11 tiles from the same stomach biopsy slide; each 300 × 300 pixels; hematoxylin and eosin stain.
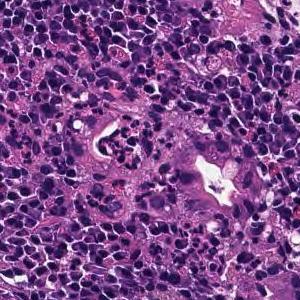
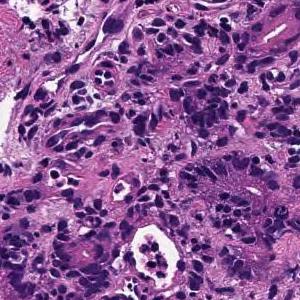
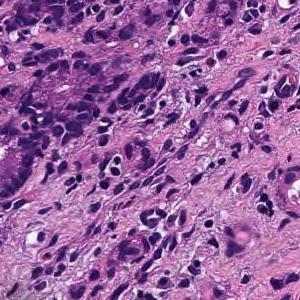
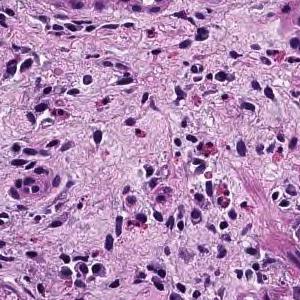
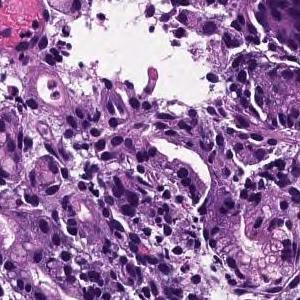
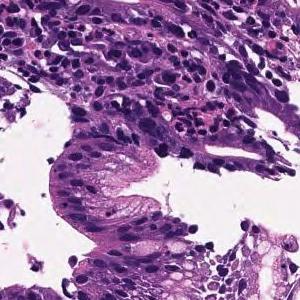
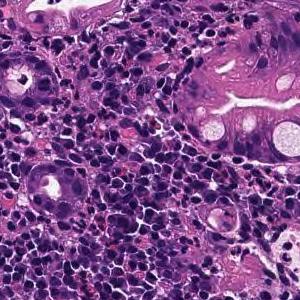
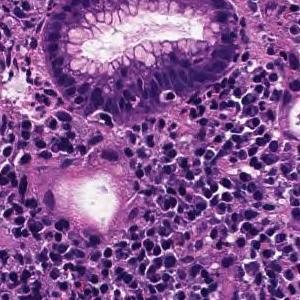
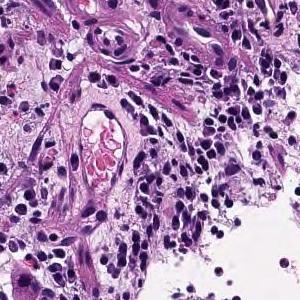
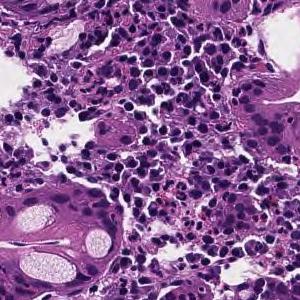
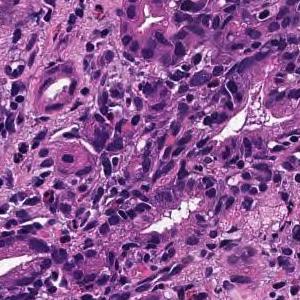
Pathology report for the biopsy slide these tiles were cut from. The report and the diagnosis cover the entire slide, so not every feature they name need be visible here, and some tissue shown may not be tumor.
In the superficial epithelium, tumor tissue that invades by forming medium-sized to small, irregular ducts is observed. moderately differentiated tubular adenocarcinoma.
